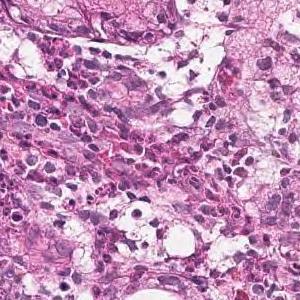
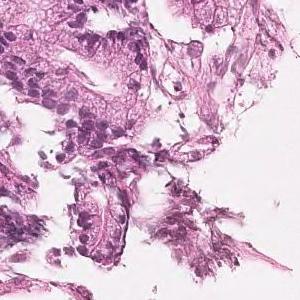
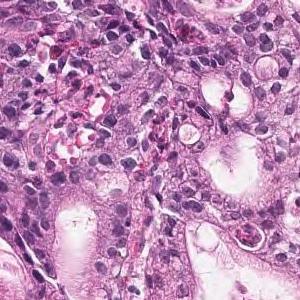
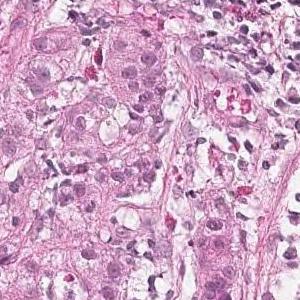
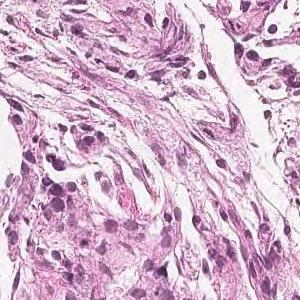
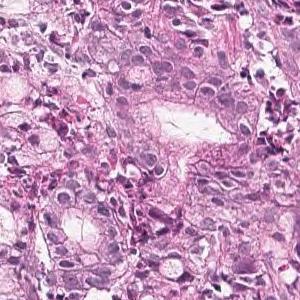
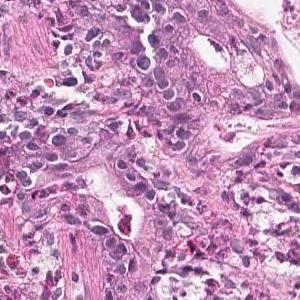
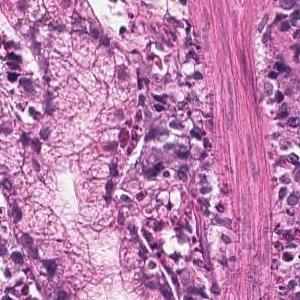
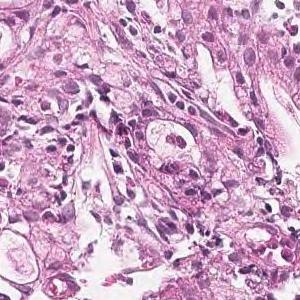
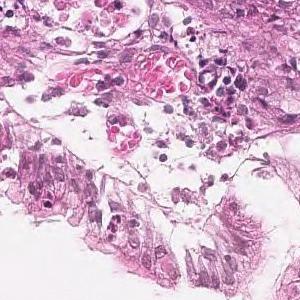
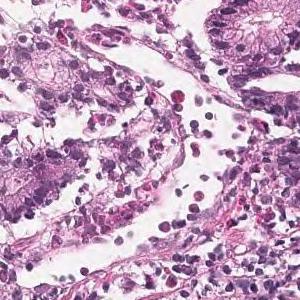
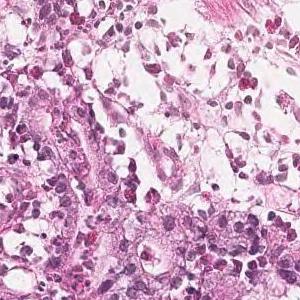
H&E stain; 20× magnification; 12 tiles from the same stomach biopsy slide.
Pathology report for the slide these tiles were cut from. The report and the diagnosis cover the entire slide, so not every feature they name need be visible here, and some tissue shown may not be tumor.
Tumor tissue consisting of medium-sized, cord-like or irregular glandular infiltration is observed in the superficial epithelium. Poorly differentiated adenocarcinoma, non-solid type or moderately differentiated tubular adenocarcinoma
The term "non-solid type" comes from the Japanese Classification of Gastric Carcinoma.
